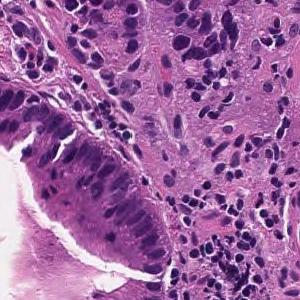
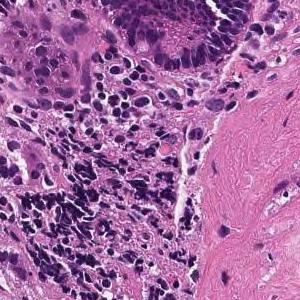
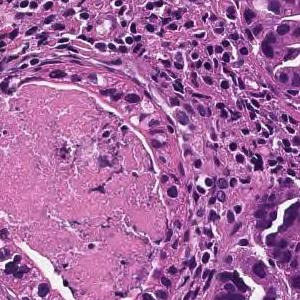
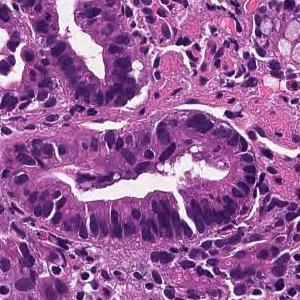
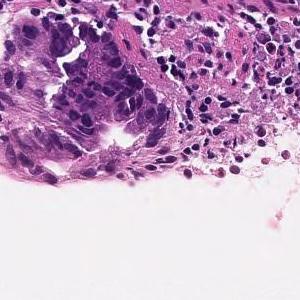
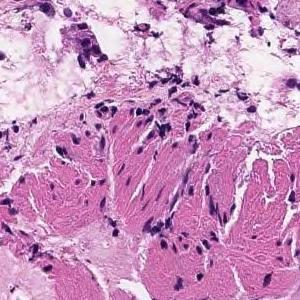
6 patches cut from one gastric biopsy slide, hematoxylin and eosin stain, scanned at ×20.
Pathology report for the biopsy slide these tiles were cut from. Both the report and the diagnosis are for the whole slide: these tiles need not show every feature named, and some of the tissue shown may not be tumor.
From the superficial epithelium to the muscularis mucosae, tumor tissue consisting of medium-sized and irregular glandular ducts infiltrating is observed. Well differentiated tubular adenocarcinoma
